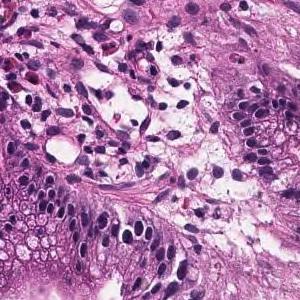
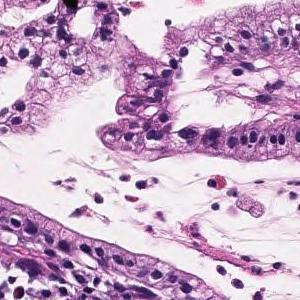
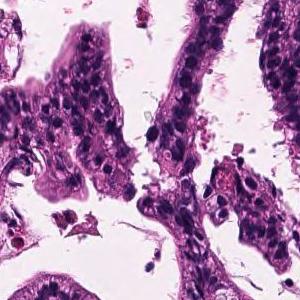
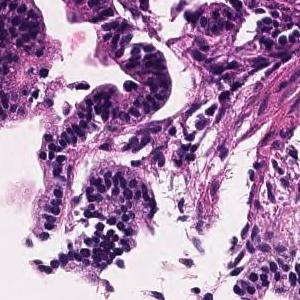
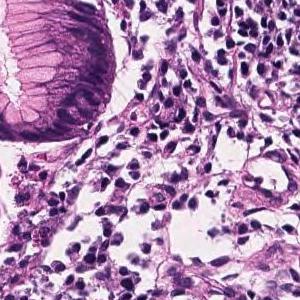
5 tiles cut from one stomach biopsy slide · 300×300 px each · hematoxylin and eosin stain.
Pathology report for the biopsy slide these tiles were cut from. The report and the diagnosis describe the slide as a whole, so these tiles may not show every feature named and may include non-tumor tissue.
Tumor tissue consisting of large papillary structures or irregular glandular ducts partially fused and infiltrated is observed in the superficial epithelium. Well to moderately differentiated tubular adenocarcinoma.
The dataset labels this slide moderately differentiated tubular adenocarcinoma.
